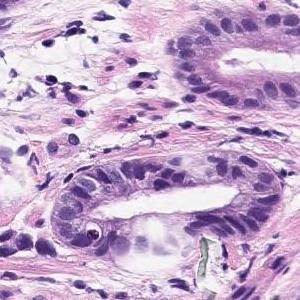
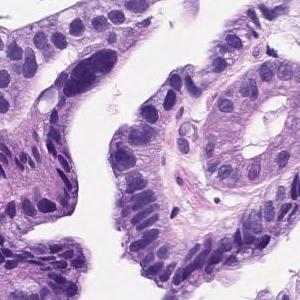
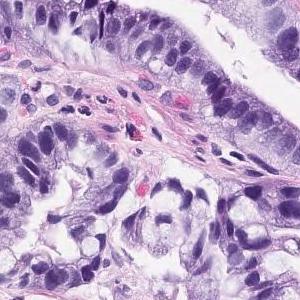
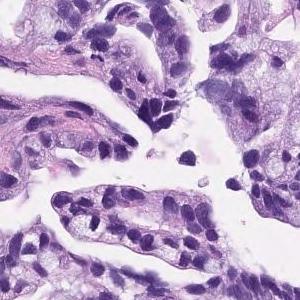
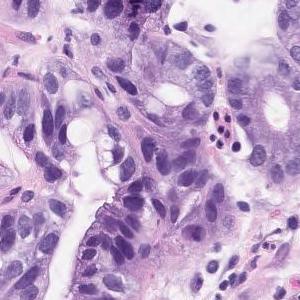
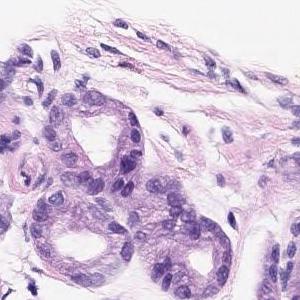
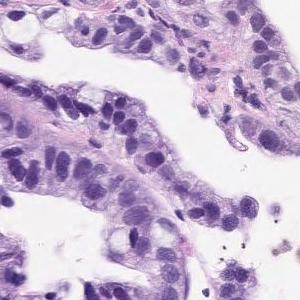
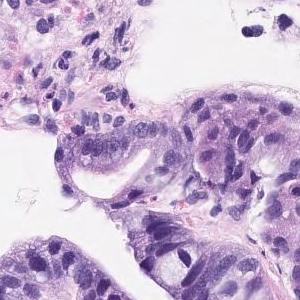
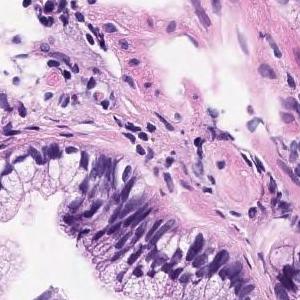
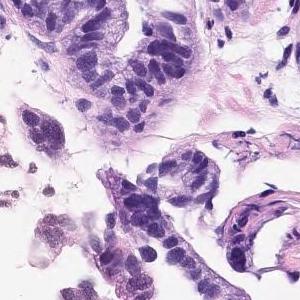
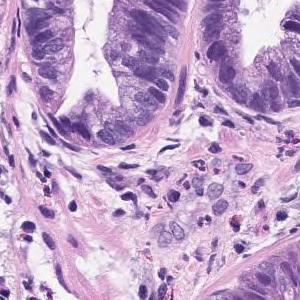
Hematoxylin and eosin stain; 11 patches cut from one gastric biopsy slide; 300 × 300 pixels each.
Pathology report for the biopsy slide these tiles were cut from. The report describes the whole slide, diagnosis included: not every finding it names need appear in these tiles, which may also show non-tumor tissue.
The superficial tumors shows large papillary structures or large and small ducts and infiltrates. Papillary adenocarcinoma.
